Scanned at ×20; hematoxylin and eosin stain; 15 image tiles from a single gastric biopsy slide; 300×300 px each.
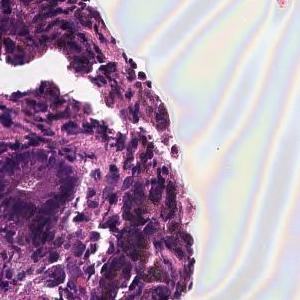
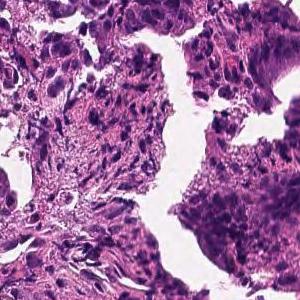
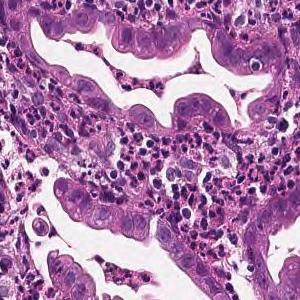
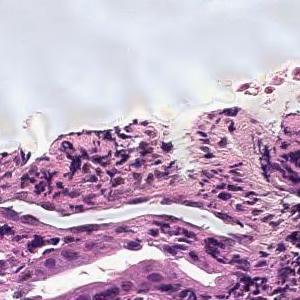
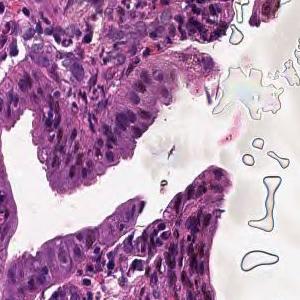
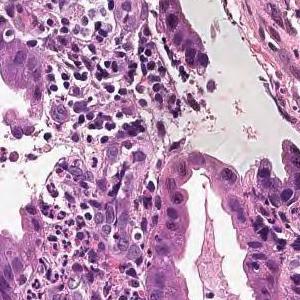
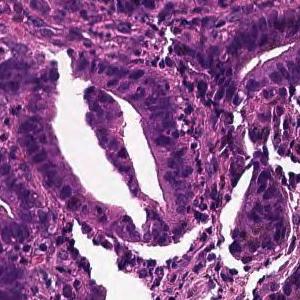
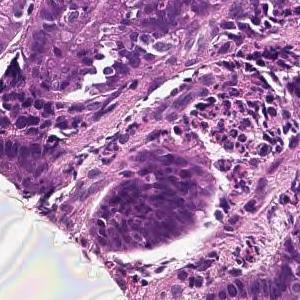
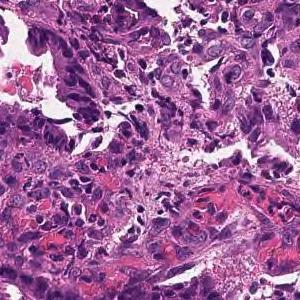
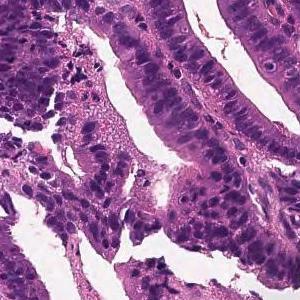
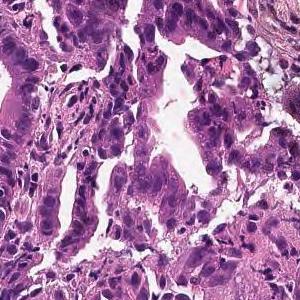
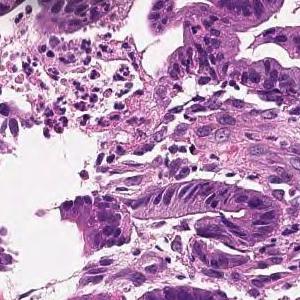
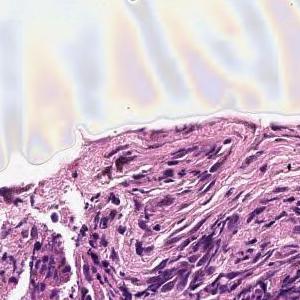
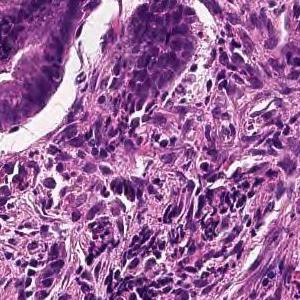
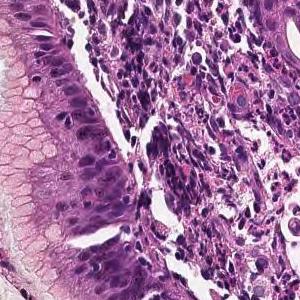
Pathology report for the slide these tiles were cut from. What the report and the diagnosis say applies to the whole slide; these tiles may miss some of the features named and may include tissue that is not tumor.
From the superficial epithelium to the muscularis mucosae, tumor tissue consisting of medium-sized and irregular glandular ducts infiltrating is observed. Well differentiated tubular adenocarcinoma
